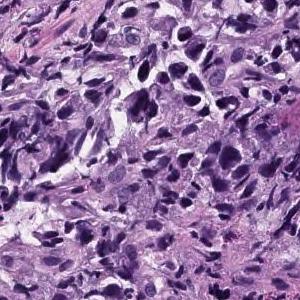
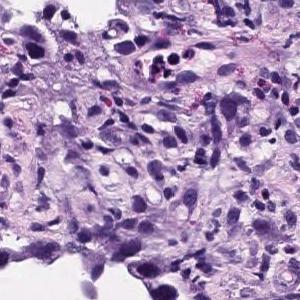
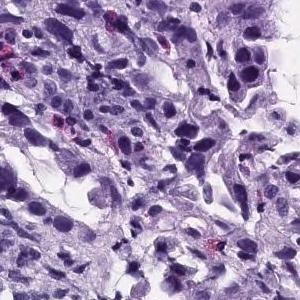
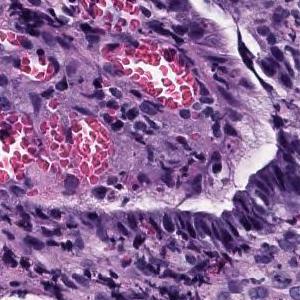
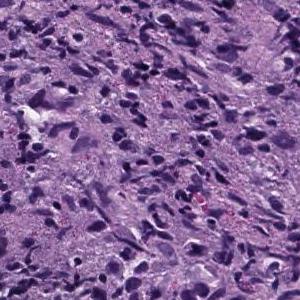
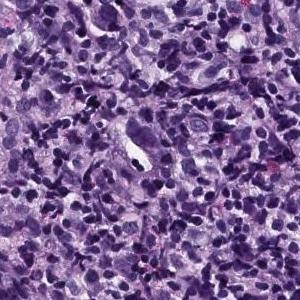
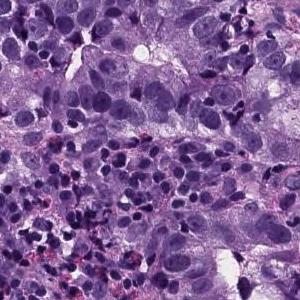
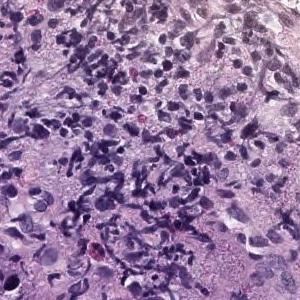
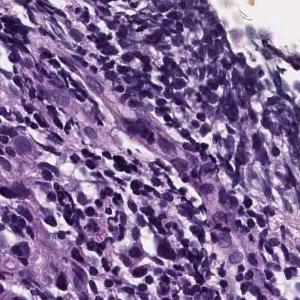
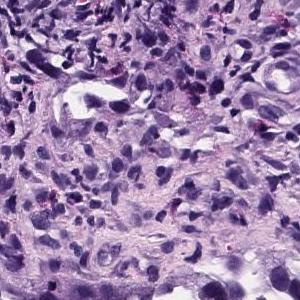
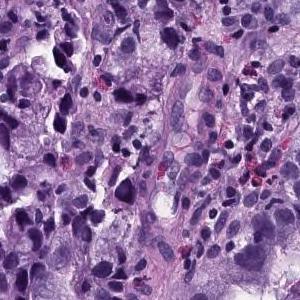
11 tiles from the same stomach biopsy slide; each 300 × 300 pixels; H&E; ×20.
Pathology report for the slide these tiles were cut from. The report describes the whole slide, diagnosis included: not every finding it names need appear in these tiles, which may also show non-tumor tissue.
Atypical epithelial cells infiltrating and proliferating while forming solid or cord-like fused glandular cavities of different sizes is observed. moderately differentiated tubular adenocarcinoma, poorly differentiated adenocarcinoma.
Classified as moderately to poorly differentiated adenocarcinoma.
